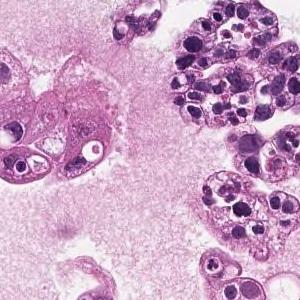
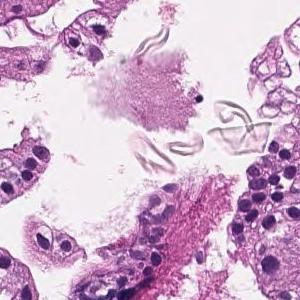
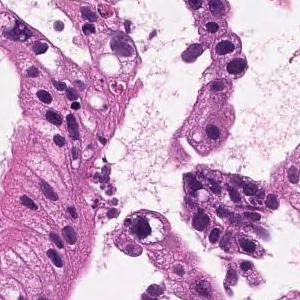
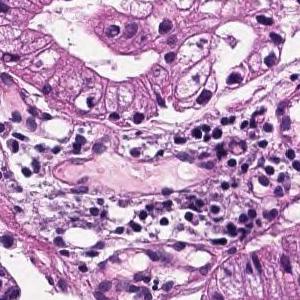
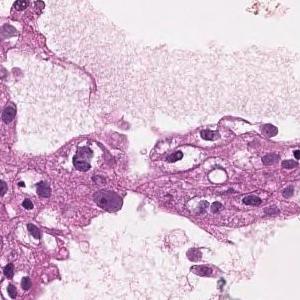
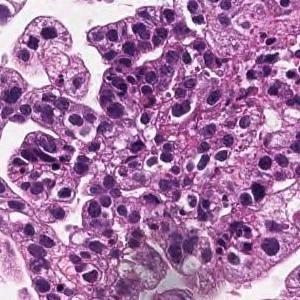
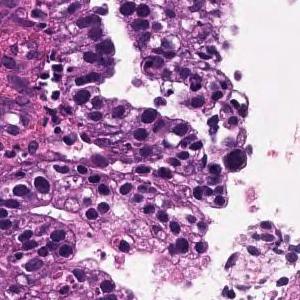
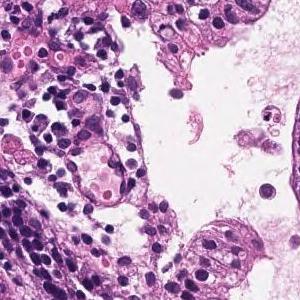
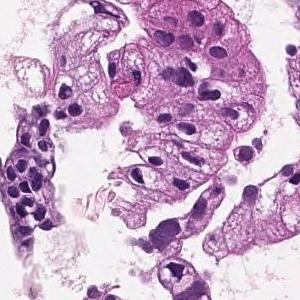
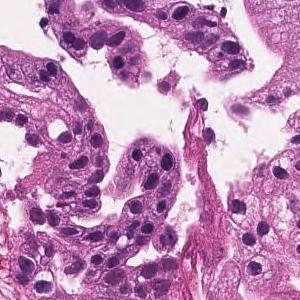
10 tiles cut from one stomach biopsy slide, 300 × 300 pixels each, hematoxylin and eosin stain.
Diagnostic report for the slide these tiles come from. The report describes the whole slide, diagnosis included: not every finding it names need appear in these tiles, which may also show non-tumor tissue.
On the superficial epithelium, tumor tissue that infiltrates by forming medium-sized papillary or small irregular ducts is observed. Papillary adenocarcinoma
